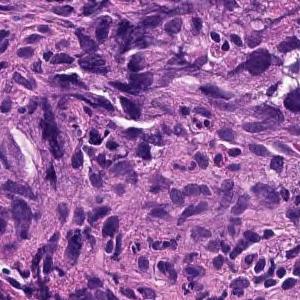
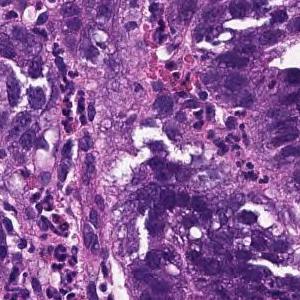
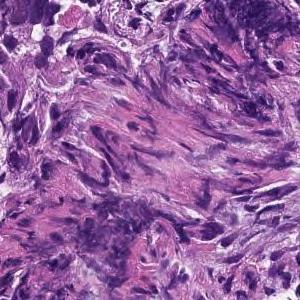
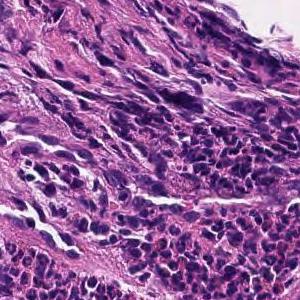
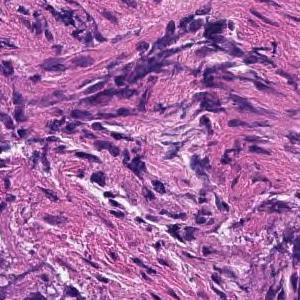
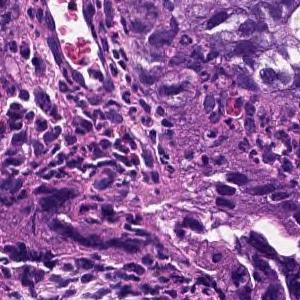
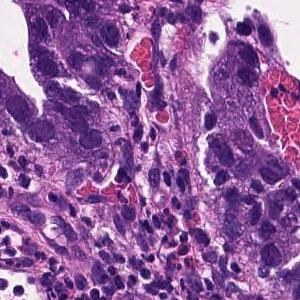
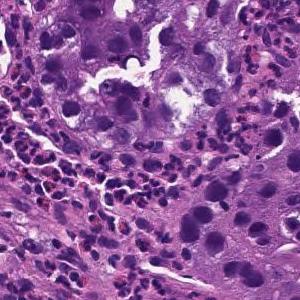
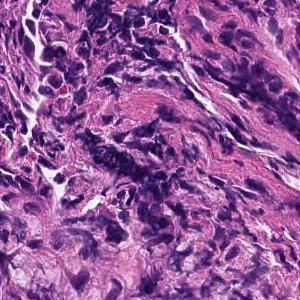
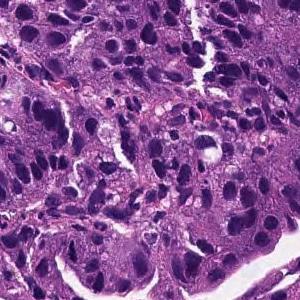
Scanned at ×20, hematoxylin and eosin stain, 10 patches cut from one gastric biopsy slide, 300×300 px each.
Report on the slide these tiles come from. What the report and the diagnosis say applies to the whole slide; these tiles may miss some of the features named and may include tissue that is not tumor.
Tumor tissue consisting of large papillary structures is found in the superficial epithelium. Papillary adenocarcinoma.
